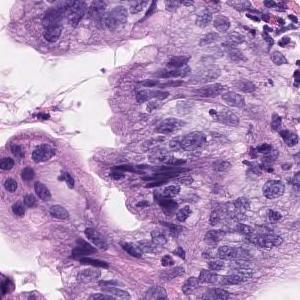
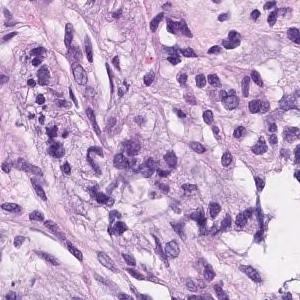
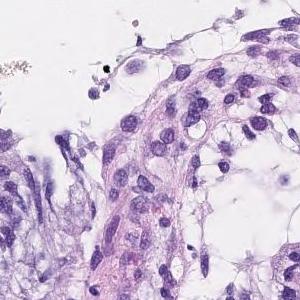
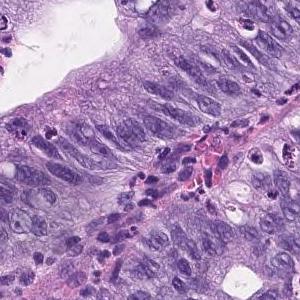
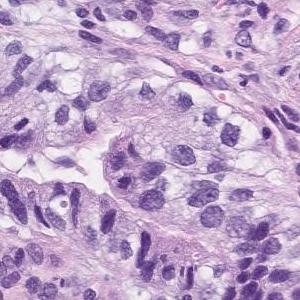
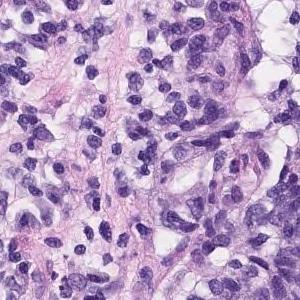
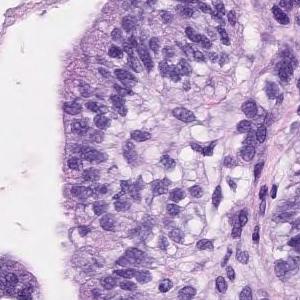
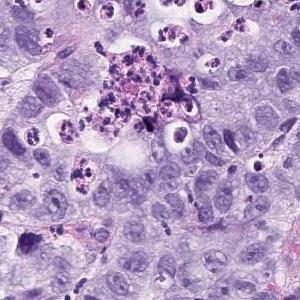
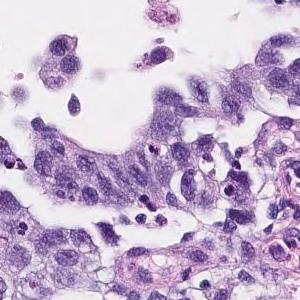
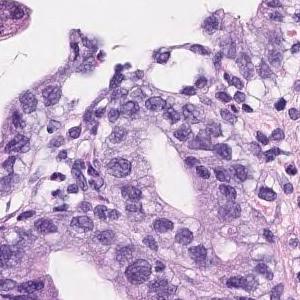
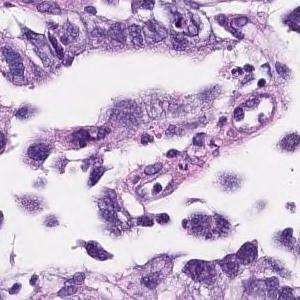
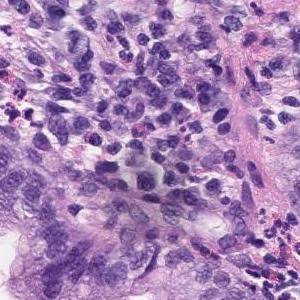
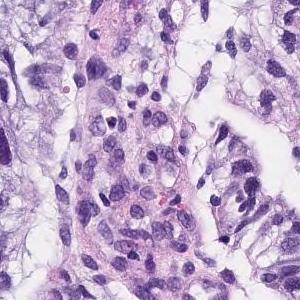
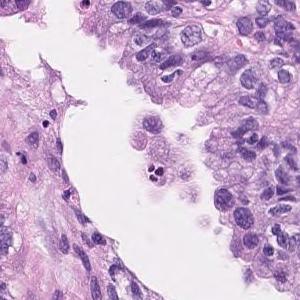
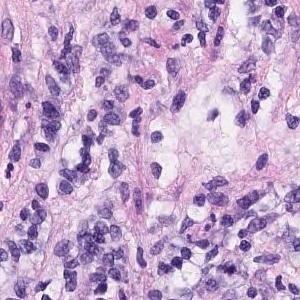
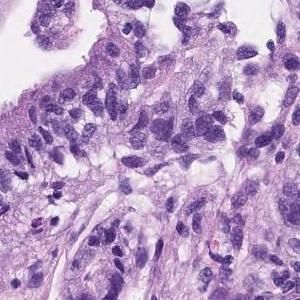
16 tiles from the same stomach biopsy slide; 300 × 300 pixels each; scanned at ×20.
Report on the slide these tiles come from. The report describes the whole slide, diagnosis included: not every finding it names need appear in these tiles, which may also show non-tumor tissue.
Tumor cells are large, highly columnar, large club-shaped nuclei, and are associated with chromatin aggregation. Papillary adenocarcinoma.
